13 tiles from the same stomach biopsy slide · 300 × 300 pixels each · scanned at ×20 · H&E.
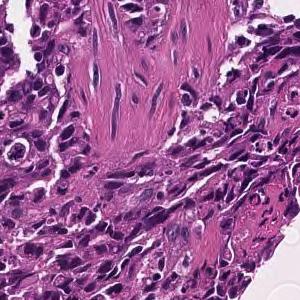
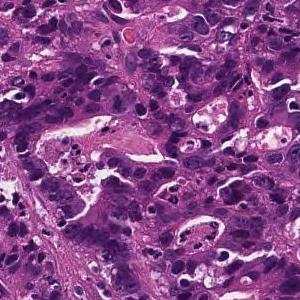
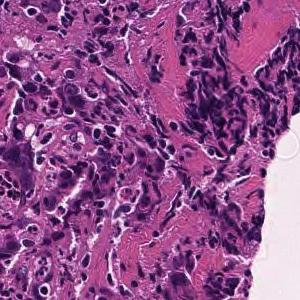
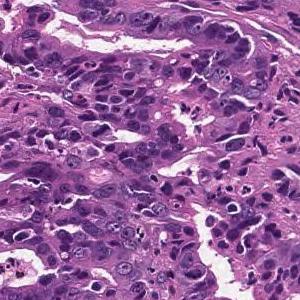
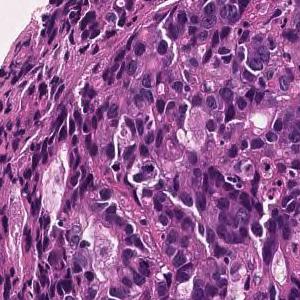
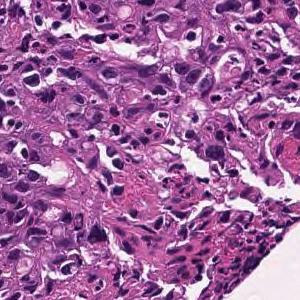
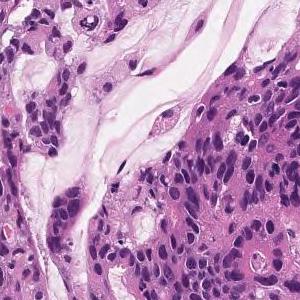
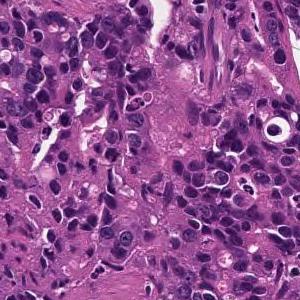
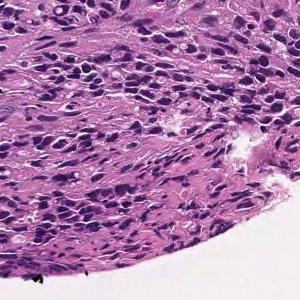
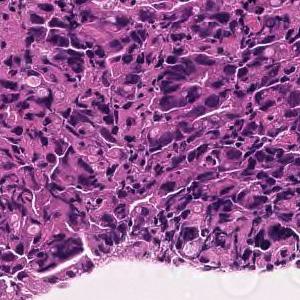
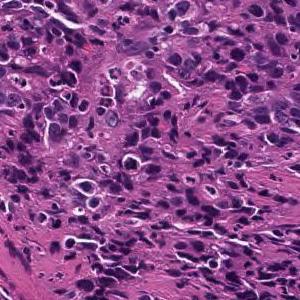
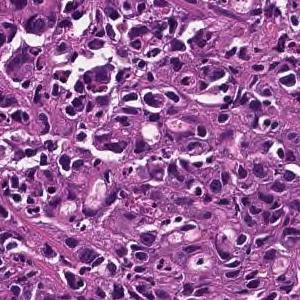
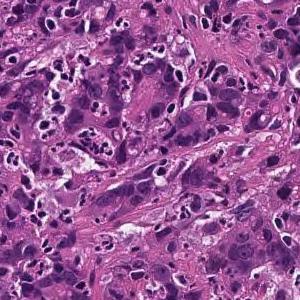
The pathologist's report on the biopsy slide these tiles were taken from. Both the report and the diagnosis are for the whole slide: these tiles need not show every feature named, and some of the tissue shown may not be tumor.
In the superficial epithelium, tumor tissue that invades by forming medium-sized to small, irregular ducts is observed. moderately differentiated tubular adenocarcinoma.
